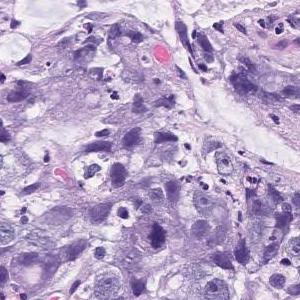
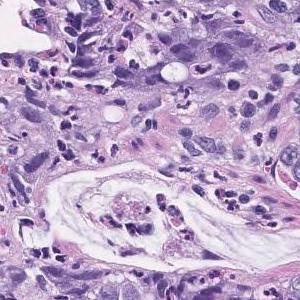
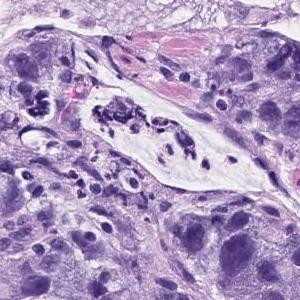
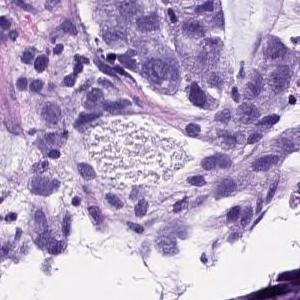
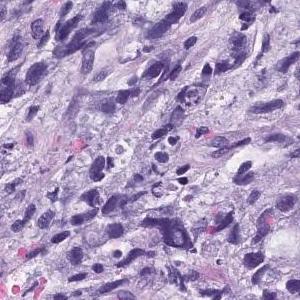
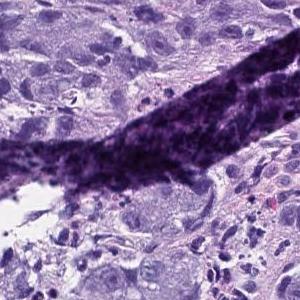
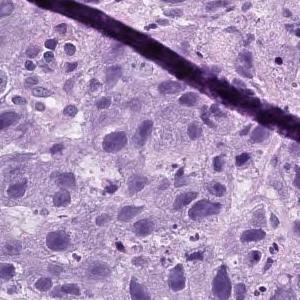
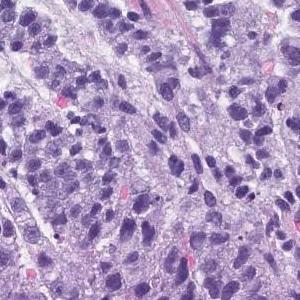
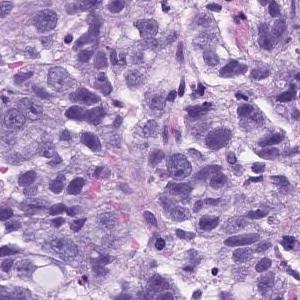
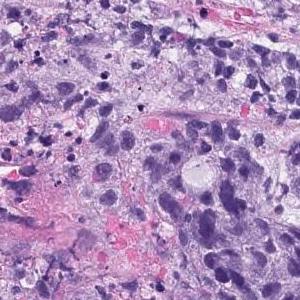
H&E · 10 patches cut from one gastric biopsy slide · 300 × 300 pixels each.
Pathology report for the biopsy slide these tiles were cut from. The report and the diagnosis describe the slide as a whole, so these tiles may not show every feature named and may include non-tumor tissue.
Atypical l cells with atypical nuclei forming solid vesicles or small irregular atypical ducts that proliferate in a complex manner. poorly differentiated adenocarcinoma, solid type, moderately differentiated tubular adenocarcinoma
The term "solid type" comes from the Japanese Classification of Gastric Carcinoma; the WHO 2019 equivalent is tubular adenocarcinoma, poorly differentiated.
